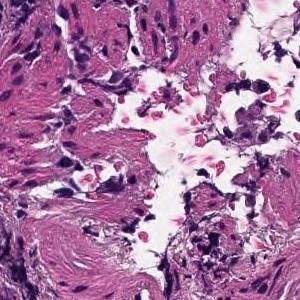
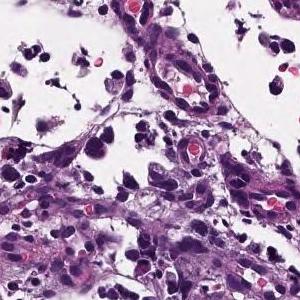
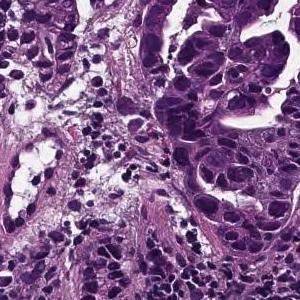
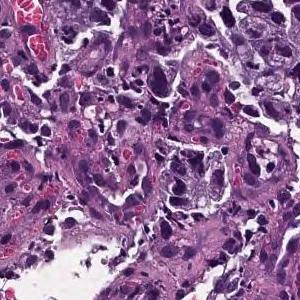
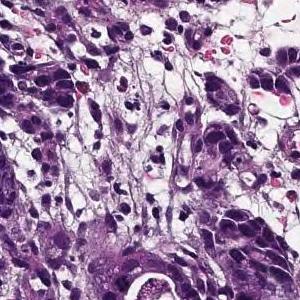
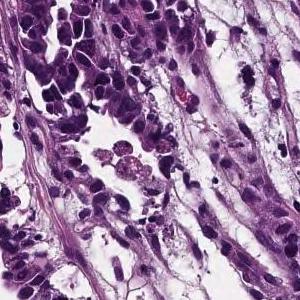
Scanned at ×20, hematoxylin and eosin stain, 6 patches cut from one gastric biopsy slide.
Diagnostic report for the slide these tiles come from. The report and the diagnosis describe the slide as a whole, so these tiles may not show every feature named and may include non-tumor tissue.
Medium to small, irregular glandular ducts are formed in the superficial epithelium, and in some cases, the glandular ducts are fused to show solid alveolar lesions and infiltrating tumor tissue is observed. Moderately to poorly differentiated adenocarcinoma.
